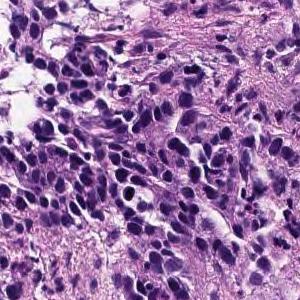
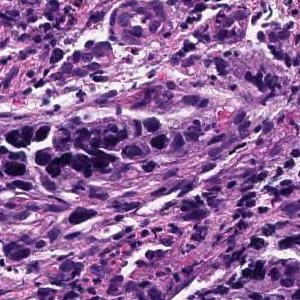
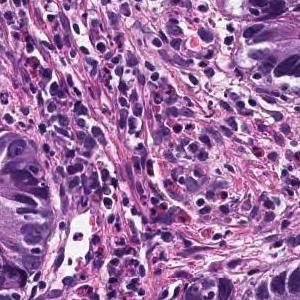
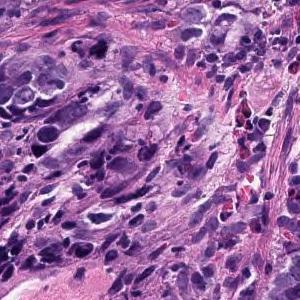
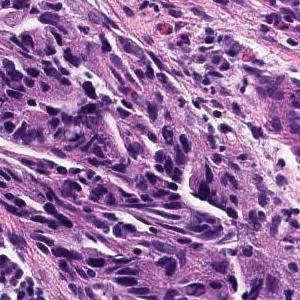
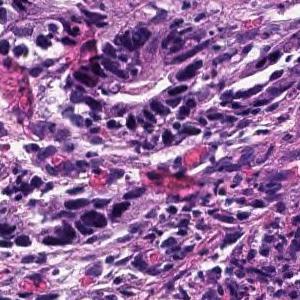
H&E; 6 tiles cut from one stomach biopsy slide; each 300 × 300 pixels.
The pathologist's report on the biopsy slide these tiles were taken from. The report describes the whole slide, diagnosis included: not every finding it names need appear in these tiles, which may also show non-tumor tissue.
In the superficial epithelium, tumor tissue that invades by forming medium-sized to small, irregular ducts is observed. Tumor cells are columnar or cuboidal in shape. Moderately differentiated adenocarcinoma.
Histologic type: Moderately differentiated tubular adenocarcinoma.
